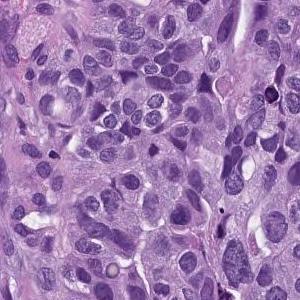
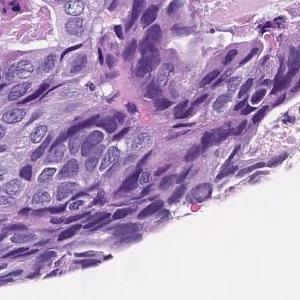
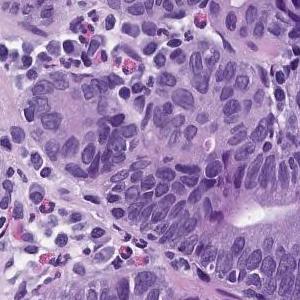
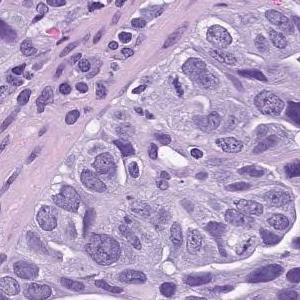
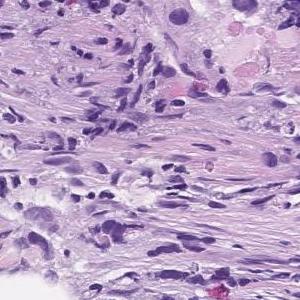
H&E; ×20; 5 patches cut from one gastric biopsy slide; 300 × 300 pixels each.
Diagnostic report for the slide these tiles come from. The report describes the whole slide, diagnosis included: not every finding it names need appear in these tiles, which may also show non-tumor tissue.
In the superficial epithelium, tumor tissue that invades by forming medium-sized to small, irregular ducts is observed. moderately differentiated tubular adenocarcinoma.
